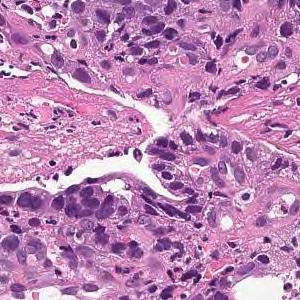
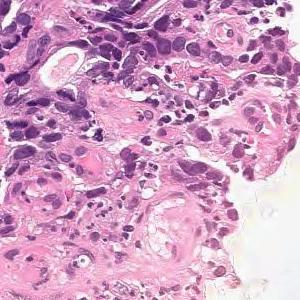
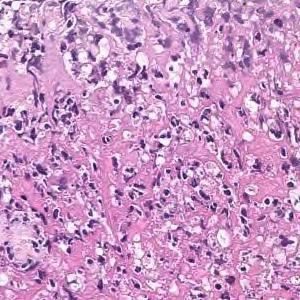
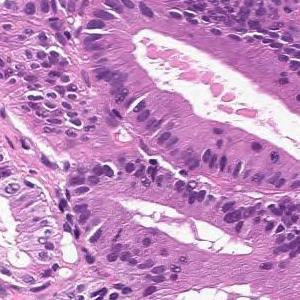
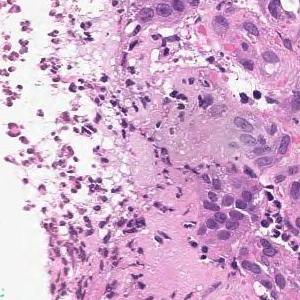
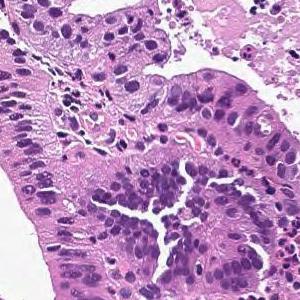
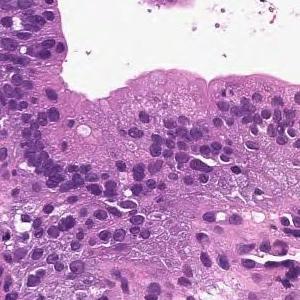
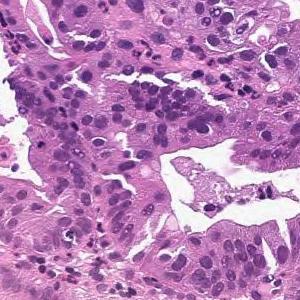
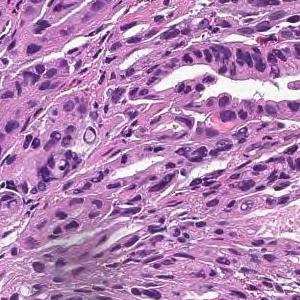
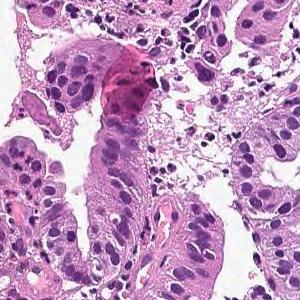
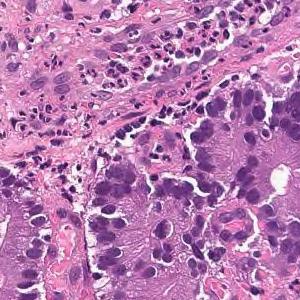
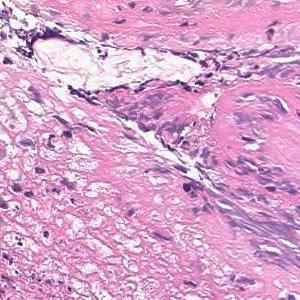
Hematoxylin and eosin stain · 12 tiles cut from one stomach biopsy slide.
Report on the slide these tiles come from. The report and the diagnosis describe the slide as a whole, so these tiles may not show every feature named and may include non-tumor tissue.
From the superficial epithelium to the muscularis mucosae, tumor tissue consisting of medium-sized and irregular glandular ducts infiltrating is observed. Well differentiated tubular adenocarcinoma
